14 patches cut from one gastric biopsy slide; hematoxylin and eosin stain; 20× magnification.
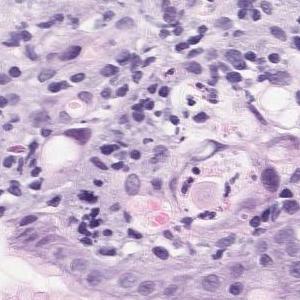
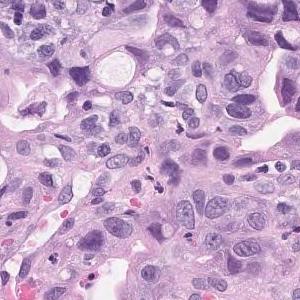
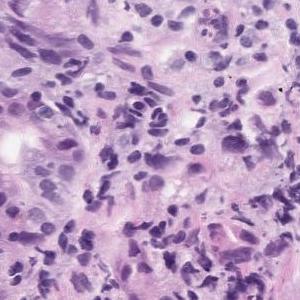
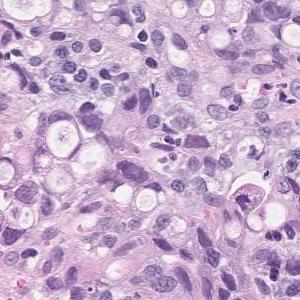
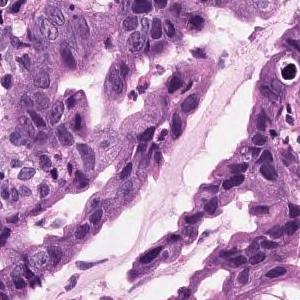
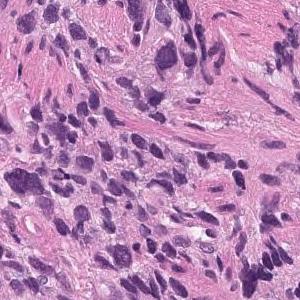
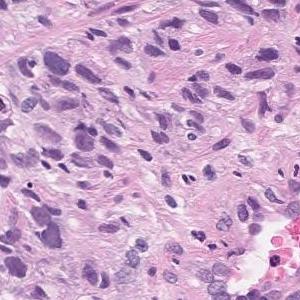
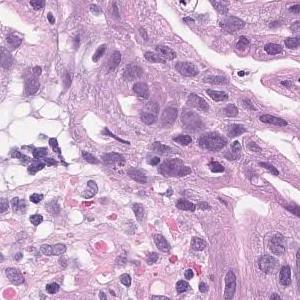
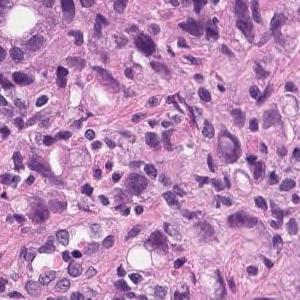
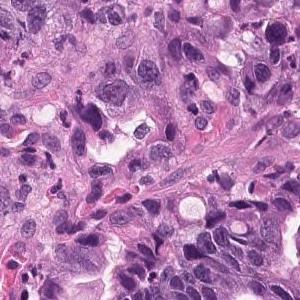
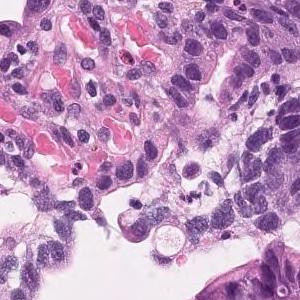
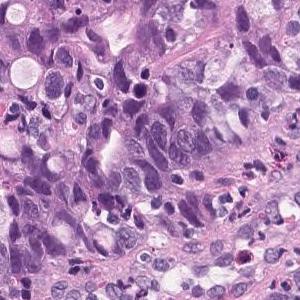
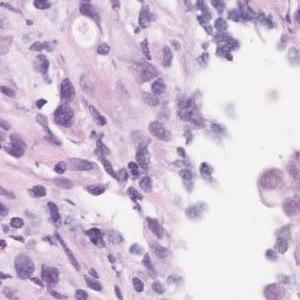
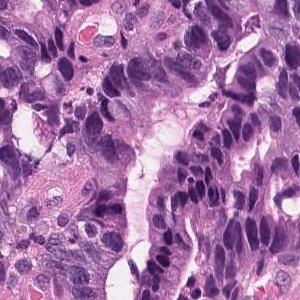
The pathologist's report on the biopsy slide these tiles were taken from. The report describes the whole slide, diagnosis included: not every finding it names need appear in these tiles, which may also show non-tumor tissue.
Tumor tissue consisting of medium-sized, cord-like or irregular glandular infiltration is observed in the superficial epithelium. Poorly differentiated adenocarcinoma, non-solid type or moderately differentiated tubular adenocarcinoma
The dataset labels this slide poorly differentiated adenocarcinoma, non-solid type.
The term "non-solid type" comes from the Japanese Classification of Gastric Carcinoma.
